6 tiles cut from one stomach biopsy slide, H&E.
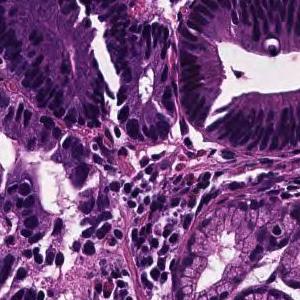
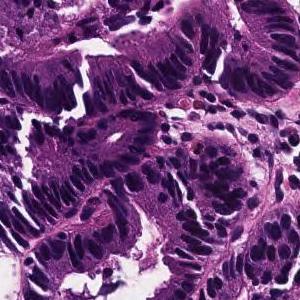
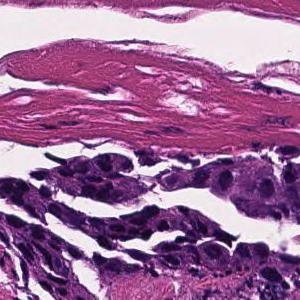
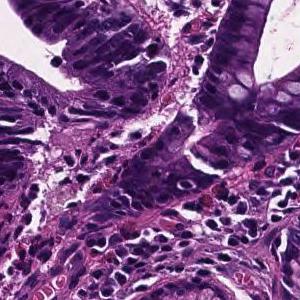
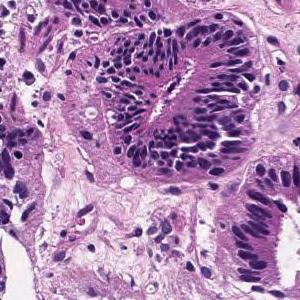
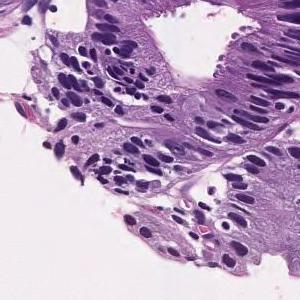
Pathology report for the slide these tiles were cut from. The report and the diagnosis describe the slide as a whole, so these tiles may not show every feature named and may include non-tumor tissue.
Tumor cells are large, highly columnar, large club-shaped nuclei, and are associated with chromatin aggregation. Papillary adenocarcinoma.
